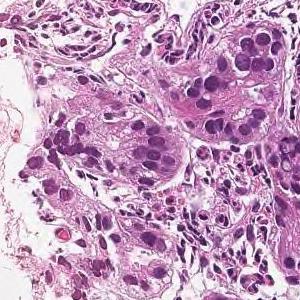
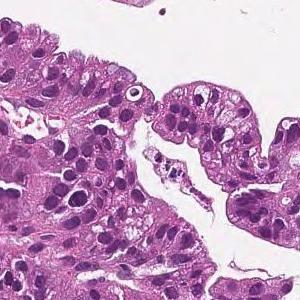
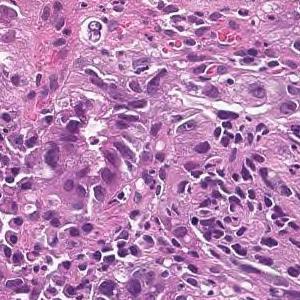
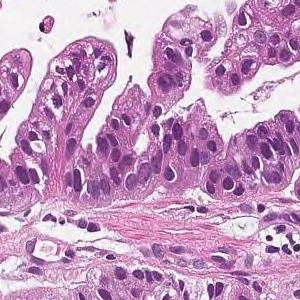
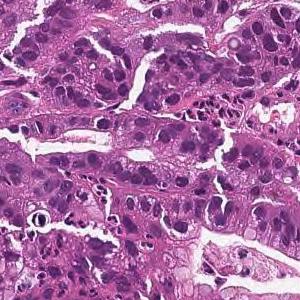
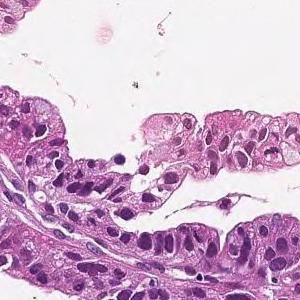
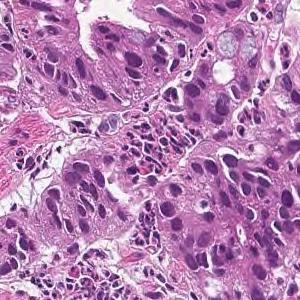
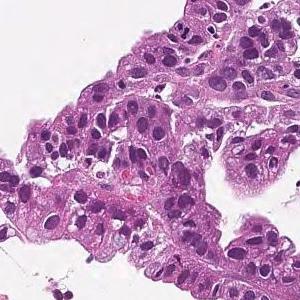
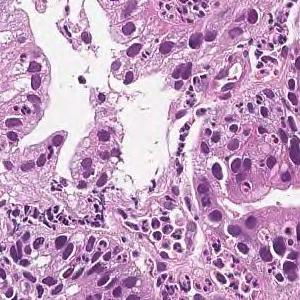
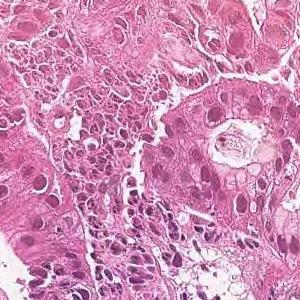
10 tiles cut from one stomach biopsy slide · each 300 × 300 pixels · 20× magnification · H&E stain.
The pathologist's report on the biopsy slide these tiles were taken from. The findings and the diagnosis refer to the entire slide; these tiles show only part of it, possibly with non-tumor tissue, and may not show every feature named.
On the superficial epithelium, tumor tissue that infiltrates by forming medium-sized papillary or small irregular ducts is observed. Papillary adenocarcinoma
